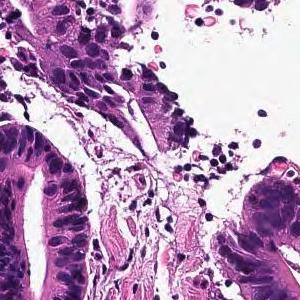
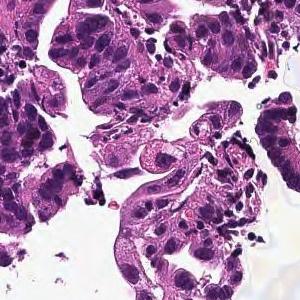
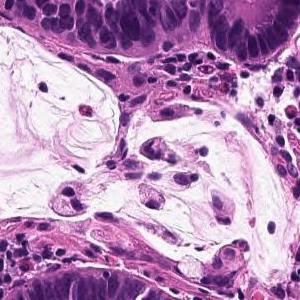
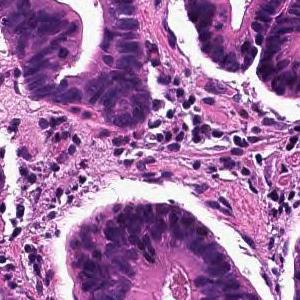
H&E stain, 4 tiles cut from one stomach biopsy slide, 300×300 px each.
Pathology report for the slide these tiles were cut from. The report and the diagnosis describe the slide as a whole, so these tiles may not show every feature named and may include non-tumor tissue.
From the superficial epithelium to the muscularis mucosae, tumor tissue consisting of medium-sized and irregular glandular ducts infiltrating is observed. Well differentiated tubular adenocarcinoma
